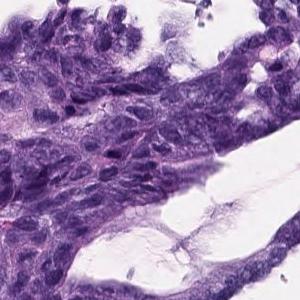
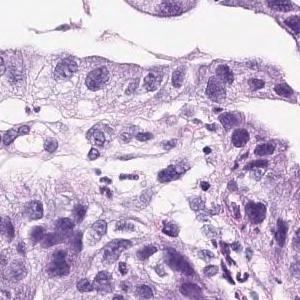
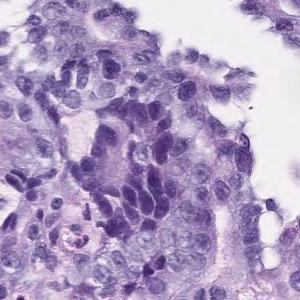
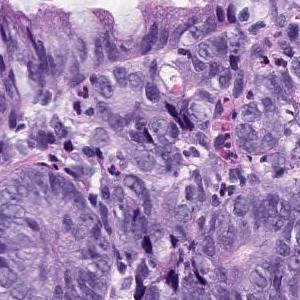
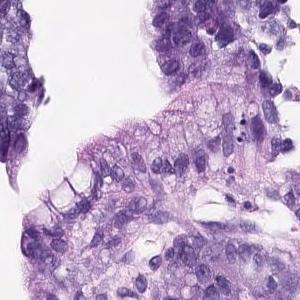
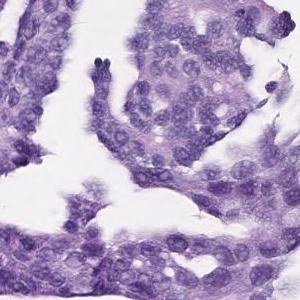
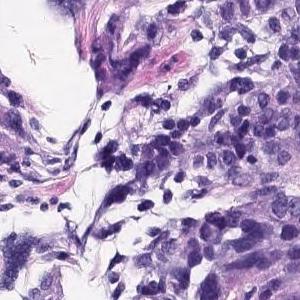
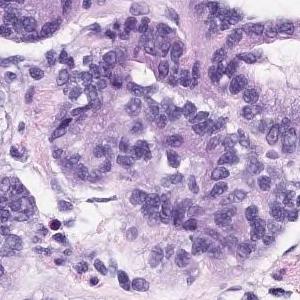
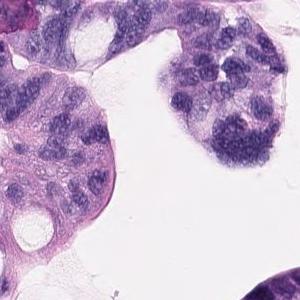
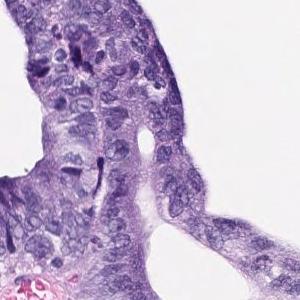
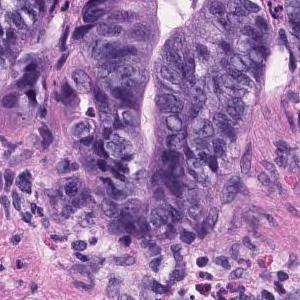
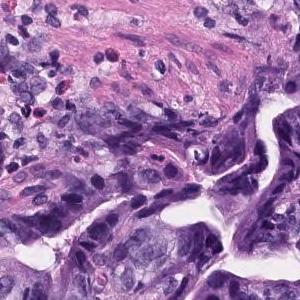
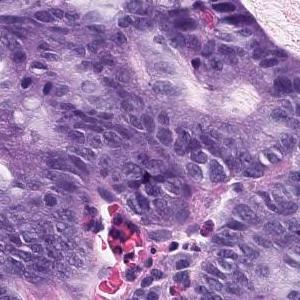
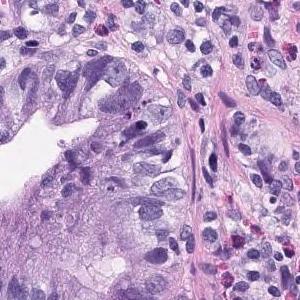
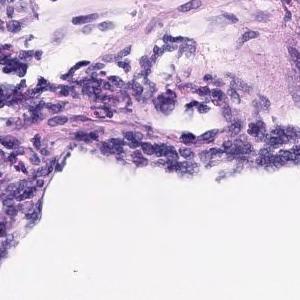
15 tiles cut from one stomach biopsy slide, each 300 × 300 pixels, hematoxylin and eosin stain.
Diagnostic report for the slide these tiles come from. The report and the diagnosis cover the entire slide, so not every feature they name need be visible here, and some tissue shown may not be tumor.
In the superficial epithelium, tumor tissue that invades by forming medium-sized to small, irregular ducts is observed. Well to moderately differentiated tubular adenocarcinoma.
